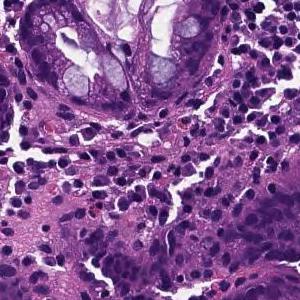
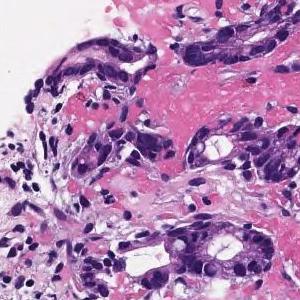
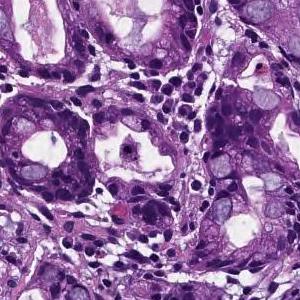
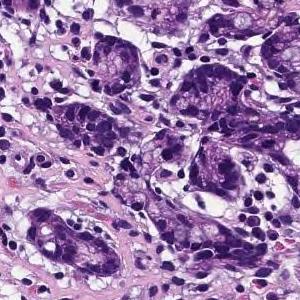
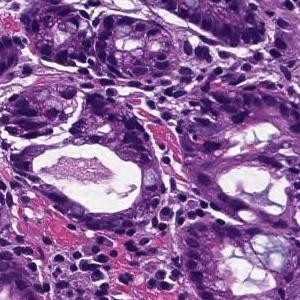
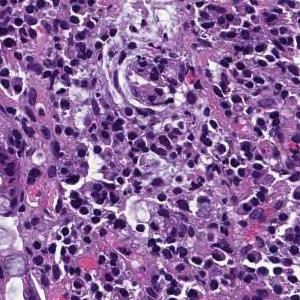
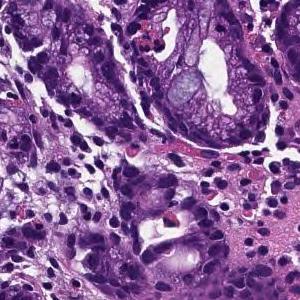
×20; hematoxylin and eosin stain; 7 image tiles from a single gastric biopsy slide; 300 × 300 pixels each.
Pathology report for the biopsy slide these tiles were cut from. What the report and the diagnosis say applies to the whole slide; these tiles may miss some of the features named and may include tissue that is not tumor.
Tumor tissue consisting of medium-sized, cord-like or irregular glandular infiltration is observed in the superficial epithelium. Poorly differentiated adenocarcinoma, non-solid type or moderately differentiated tubular adenocarcinoma
Classified as moderately to poorly differentiated adenocarcinoma.
The non-solid type named here is a Japanese Classification of Gastric Carcinoma category.
